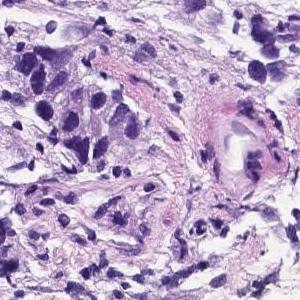
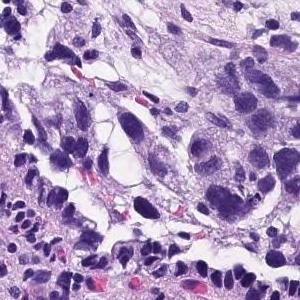
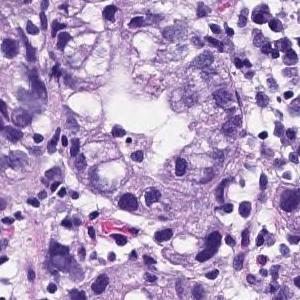
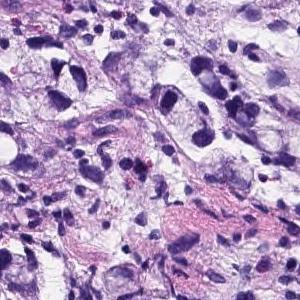
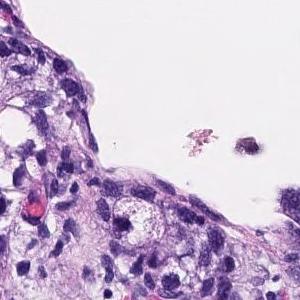
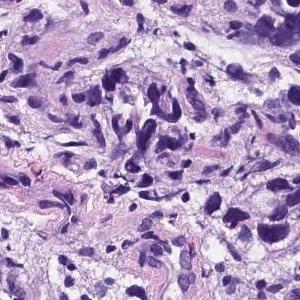
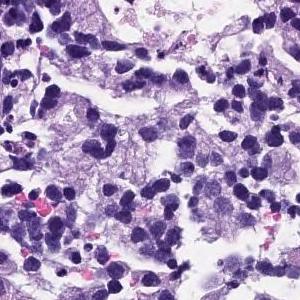
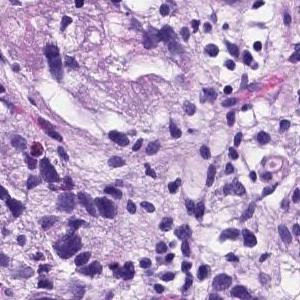
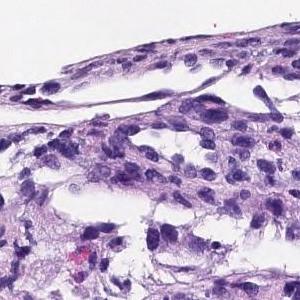
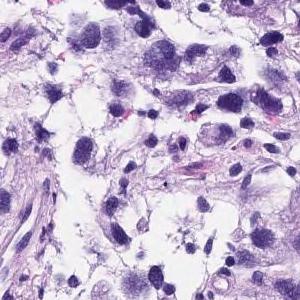
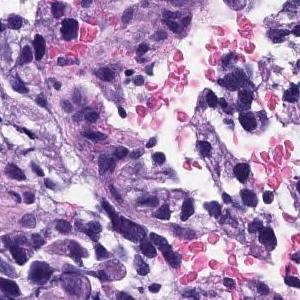
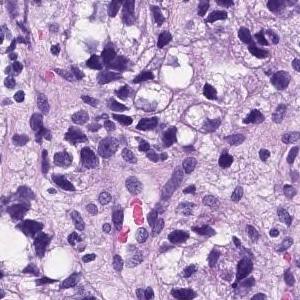
12 tiles cut from one stomach biopsy slide · each 300 × 300 pixels.
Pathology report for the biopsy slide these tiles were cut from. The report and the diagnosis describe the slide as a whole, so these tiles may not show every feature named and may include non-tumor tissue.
Medium to small, irregular glandular ducts are formed in the superficial epithelium, and in some cases, the glandular ducts are fused to show solid alveolar lesions and infiltrating tumor tissue is observed. Poorly differentiated adenocarcinoma, Moderately differentiated adenocarcinoma.
Dataset label: moderately differentiated tubular adenocarcinoma.
